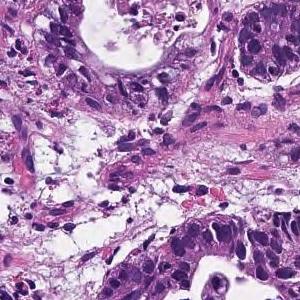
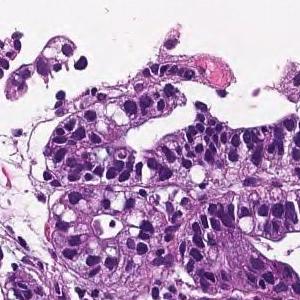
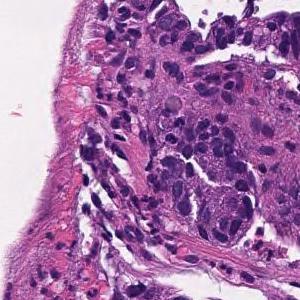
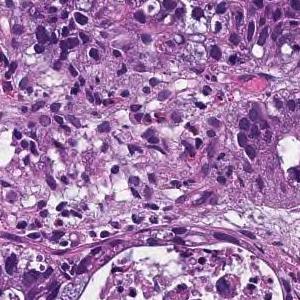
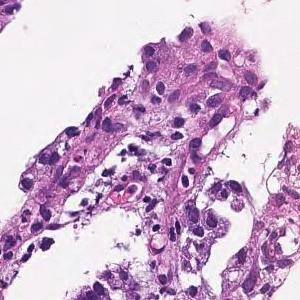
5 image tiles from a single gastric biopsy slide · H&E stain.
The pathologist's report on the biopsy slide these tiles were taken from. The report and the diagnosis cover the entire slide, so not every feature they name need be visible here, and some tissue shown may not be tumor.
From the superficial epithelium to the muscularis mucosae, tumor tissue consisting of medium-sized and irregular glandular ducts infiltrating is observed. Well differentiated tubular adenocarcinoma
